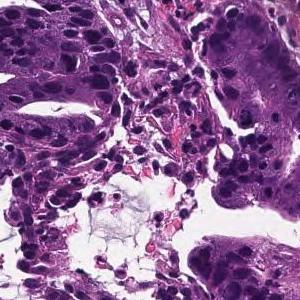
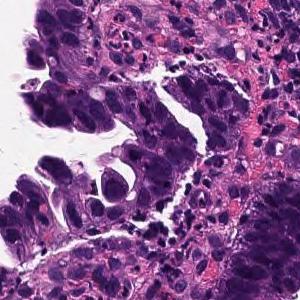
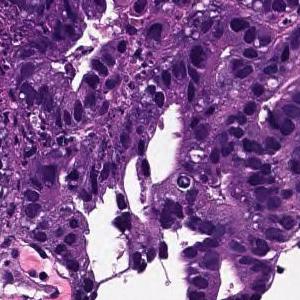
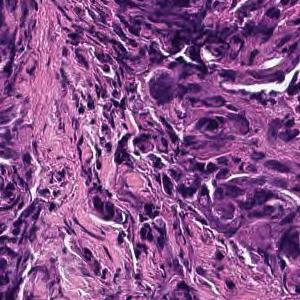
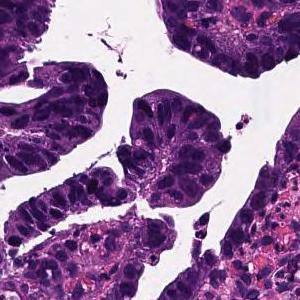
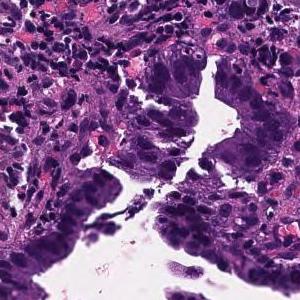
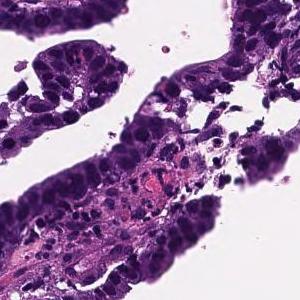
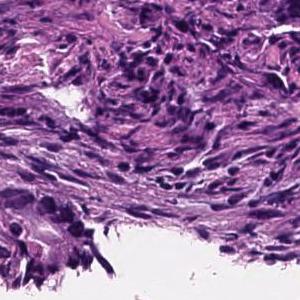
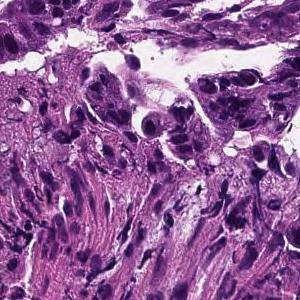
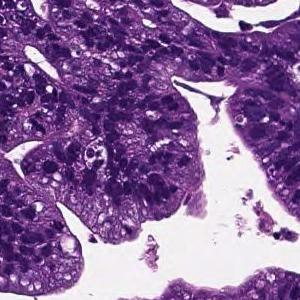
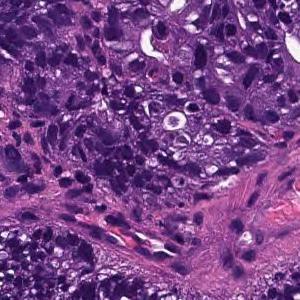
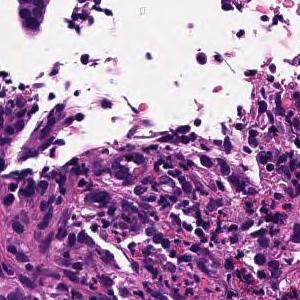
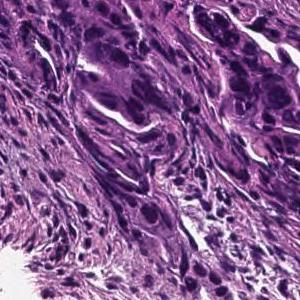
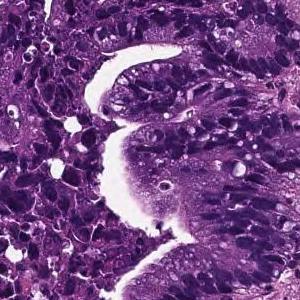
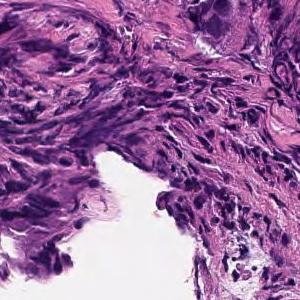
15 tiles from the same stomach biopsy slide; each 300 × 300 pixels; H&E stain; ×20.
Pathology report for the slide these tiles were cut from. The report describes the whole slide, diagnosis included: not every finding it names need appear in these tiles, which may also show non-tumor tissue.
Tumor cells are large, highly columnar, large club-shaped nuclei, and are associated with chromatin aggregation. Papillary adenocarcinoma.
